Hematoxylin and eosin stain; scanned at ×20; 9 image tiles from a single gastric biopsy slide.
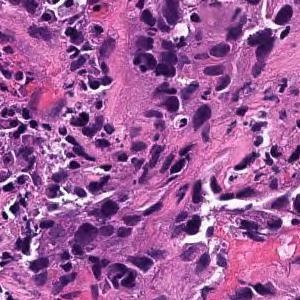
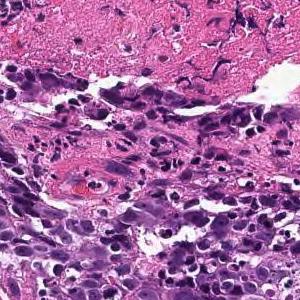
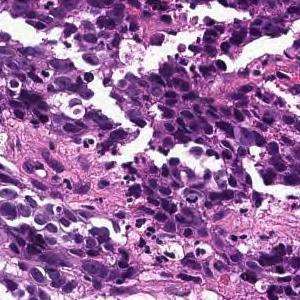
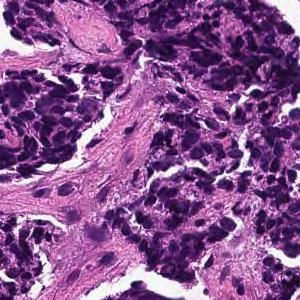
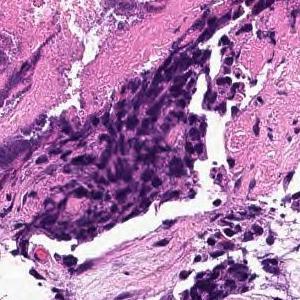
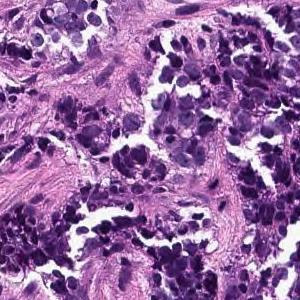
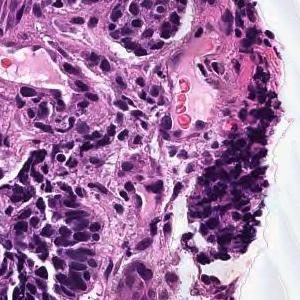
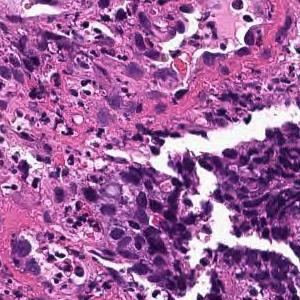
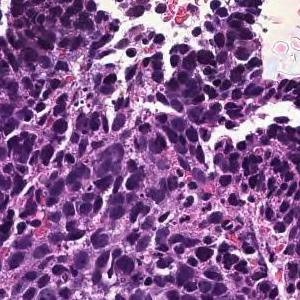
Report on the slide these tiles come from. The report and the diagnosis describe the slide as a whole, so these tiles may not show every feature named and may include non-tumor tissue.
The superficial epithelium shows a large sheet or alveolar shape, and tumor tissue infiltrating without irregular ducts is observed. Poorly differentiated adenocarcinoma, solid-type
Histologic type: Poorly differentiated adenocarcinoma, solid type, a category of the Japanese Classification of Gastric Carcinoma; in the WHO 2019 classification it is tubular adenocarcinoma, poorly differentiated.
